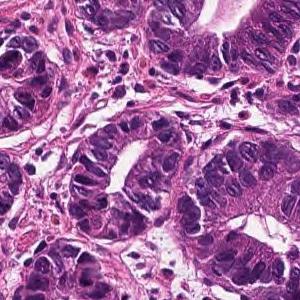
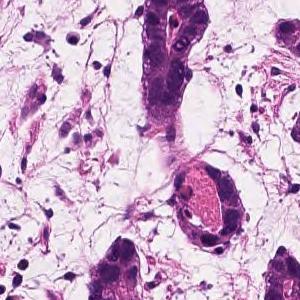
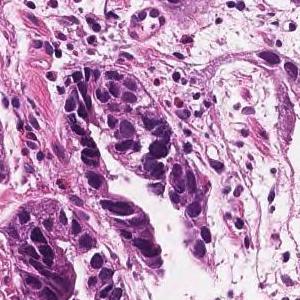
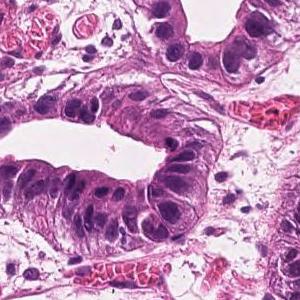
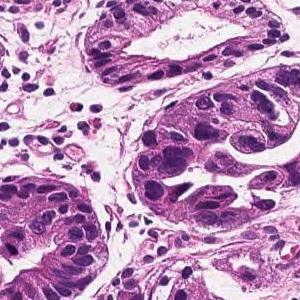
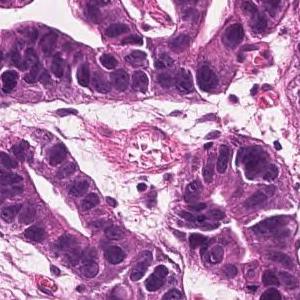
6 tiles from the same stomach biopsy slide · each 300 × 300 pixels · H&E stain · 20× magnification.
Report on the slide these tiles come from. What the report and the diagnosis say applies to the whole slide; these tiles may miss some of the features named and may include tissue that is not tumor.
In the superficial epithelium, tumor tissue that invades by forming medium-sized to small, irregular ducts is observed. Well differentiated tubular adenocarcinoma.
